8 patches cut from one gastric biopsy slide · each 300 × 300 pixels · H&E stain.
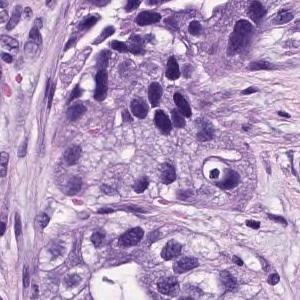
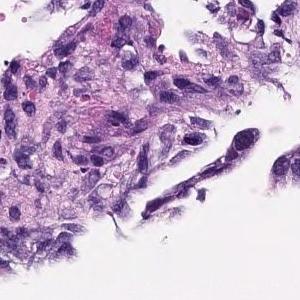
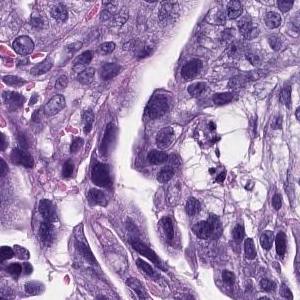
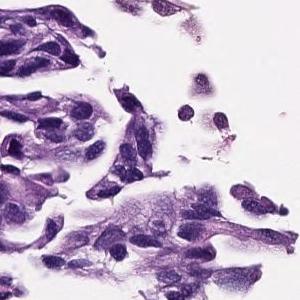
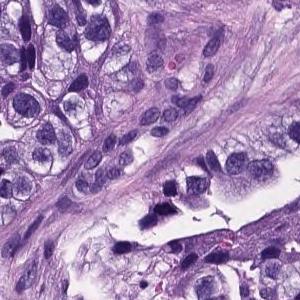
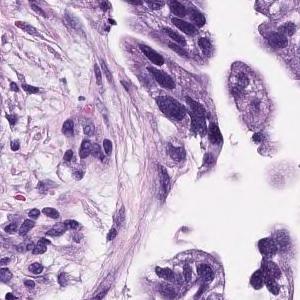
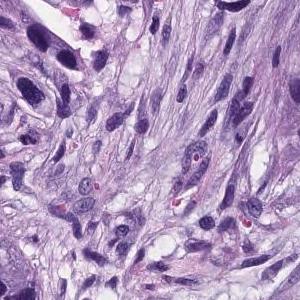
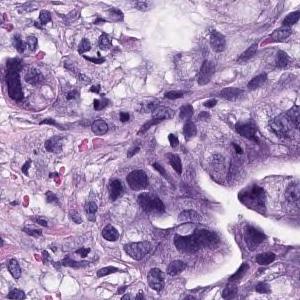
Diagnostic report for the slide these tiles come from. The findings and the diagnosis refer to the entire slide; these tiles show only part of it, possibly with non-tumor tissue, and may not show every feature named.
gastric mucosal tissue with atypical glandular proliferation arranged in tubules and acini. The tumor cells showed hyperchromatic nuclei, high N/C ratio and loss of polarity. Tubular adenocarcinoma of stomach, moderately differentiated.
Tumor subtype: moderately differentiated tubular adenocarcinoma.
